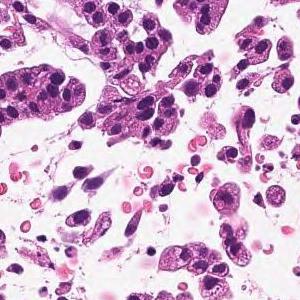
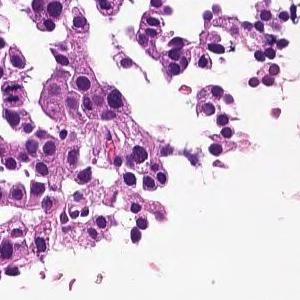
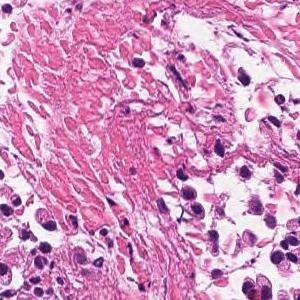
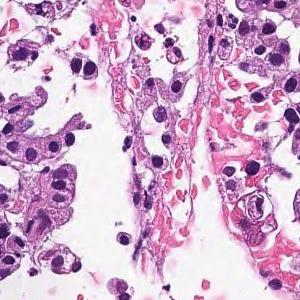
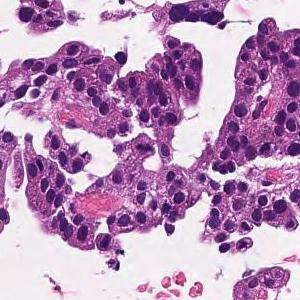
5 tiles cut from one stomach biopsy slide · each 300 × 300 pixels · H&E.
Diagnostic report for the slide these tiles come from. The report describes the whole slide, diagnosis included: not every finding it names need appear in these tiles, which may also show non-tumor tissue.
In the superficial epithelium, tumor tissue that invades by forming medium-sized to small, irregular ducts is observed. moderately differentiated tubular adenocarcinoma.
